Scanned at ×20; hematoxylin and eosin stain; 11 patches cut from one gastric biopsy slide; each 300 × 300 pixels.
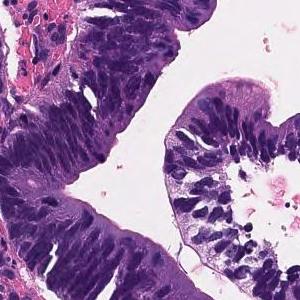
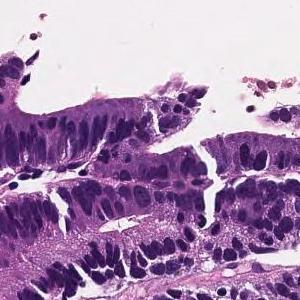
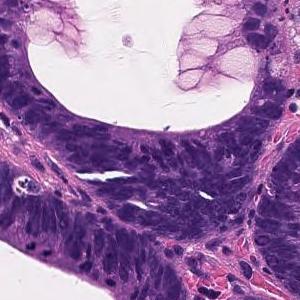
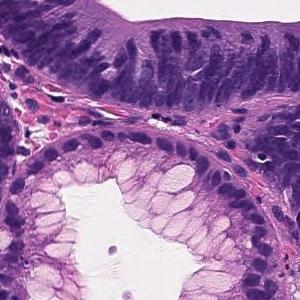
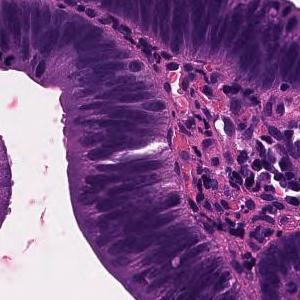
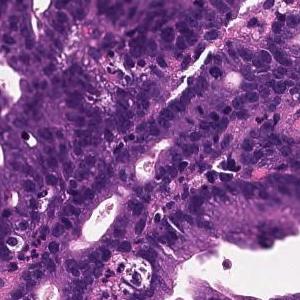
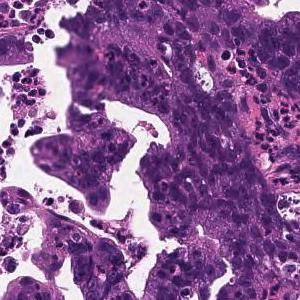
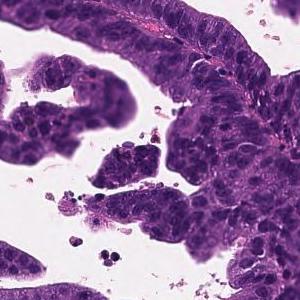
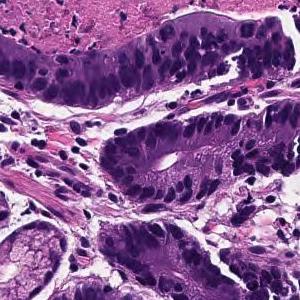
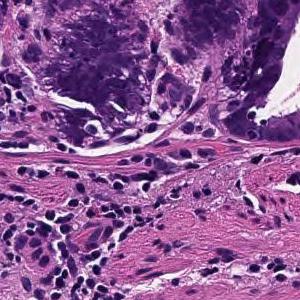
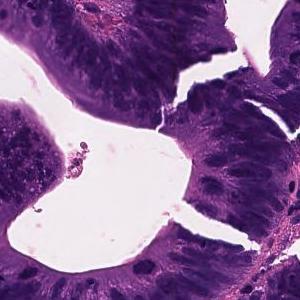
Report on the slide these tiles come from. Both the report and the diagnosis are for the whole slide: these tiles need not show every feature named, and some of the tissue shown may not be tumor.
Tumor tissue consisting of large papillary structures is found in the superficial epithelium. Papillary adenocarcinoma.
